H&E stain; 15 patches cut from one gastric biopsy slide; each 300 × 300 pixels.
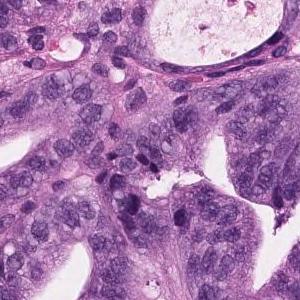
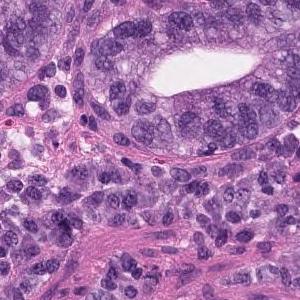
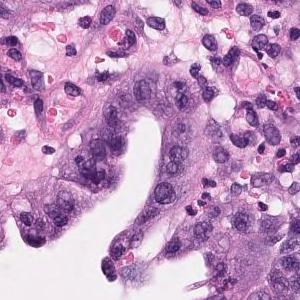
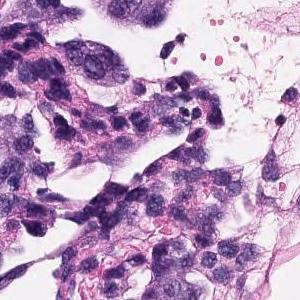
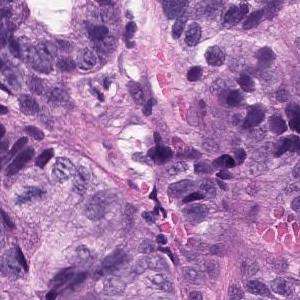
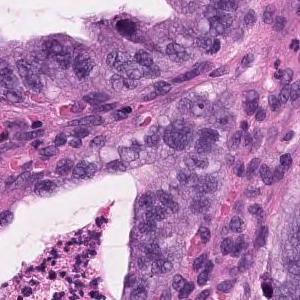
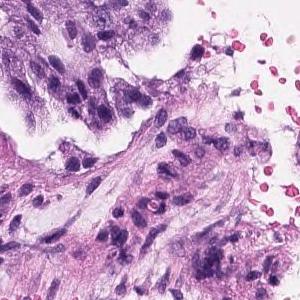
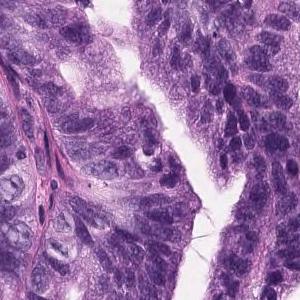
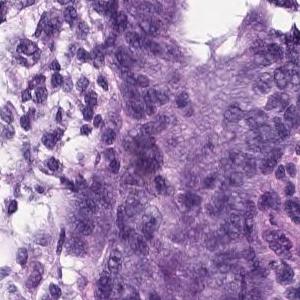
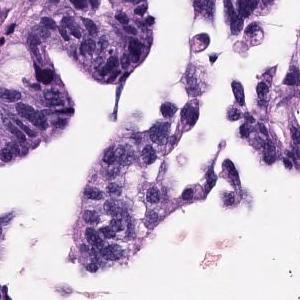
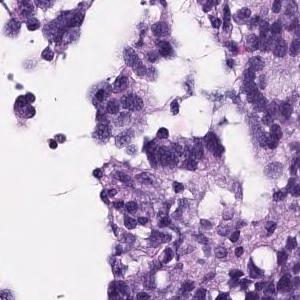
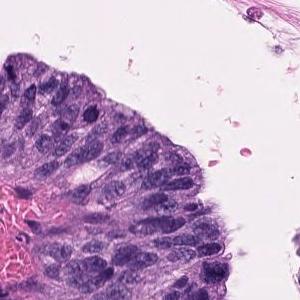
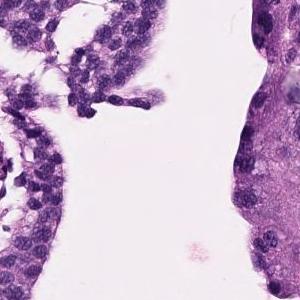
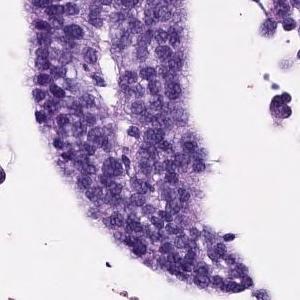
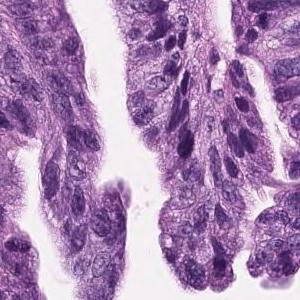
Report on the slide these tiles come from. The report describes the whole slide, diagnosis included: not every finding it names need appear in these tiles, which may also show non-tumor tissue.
Tumor cells are large, highly columnar, large club-shaped nuclei, and are associated with chromatin aggregation. Papillary adenocarcinoma.
